4 tiles from the same stomach biopsy slide · scanned at ×20.
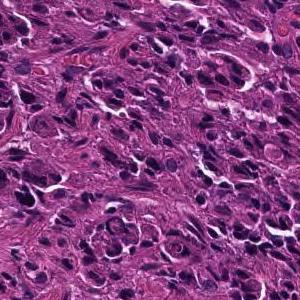
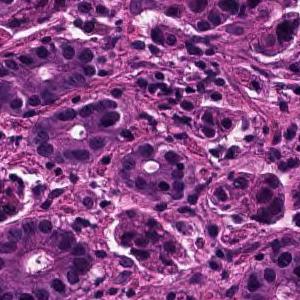
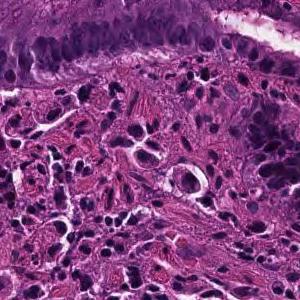
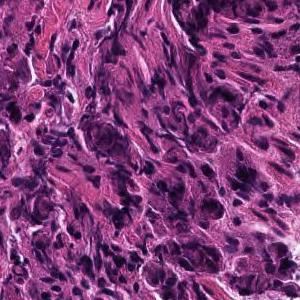
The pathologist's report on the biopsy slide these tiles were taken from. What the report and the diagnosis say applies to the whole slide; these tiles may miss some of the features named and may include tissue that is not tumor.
Tumor tissue consisting of cord-like or small, irregular glandular ducts fused and infiltrated is observed in the superficial epithelium. Poorly differentiated adenocarcinoma, non-solid type
"Non-solid type" is a category of the Japanese Classification of Gastric Carcinoma.
